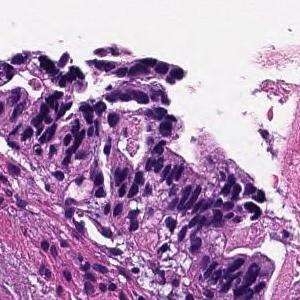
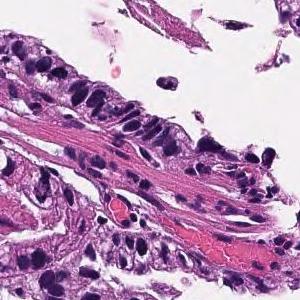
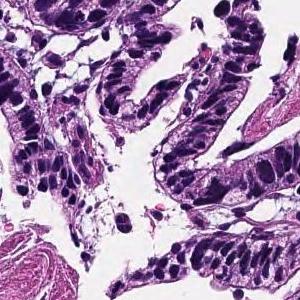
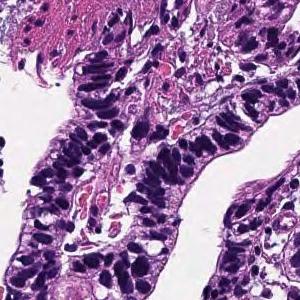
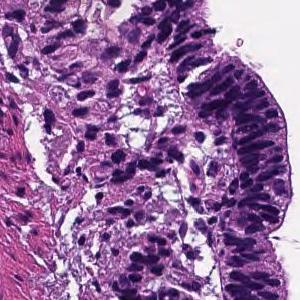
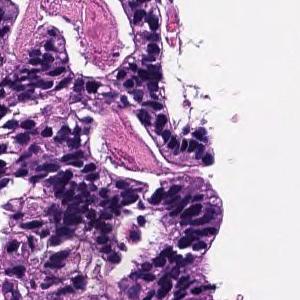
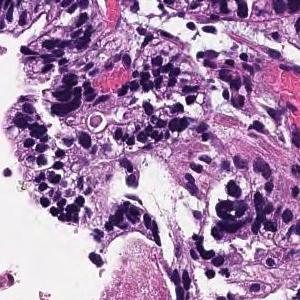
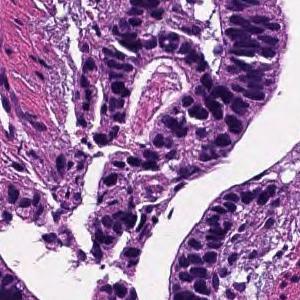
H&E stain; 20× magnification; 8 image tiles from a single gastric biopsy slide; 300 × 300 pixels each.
The pathologist's report on the biopsy slide these tiles were taken from. Both the report and the diagnosis are for the whole slide: these tiles need not show every feature named, and some of the tissue shown may not be tumor.
On the superficial epithelium, tumor tissue that infiltrates by forming medium-sized papillary or small irregular ducts is observed. Papillary adenocarcinoma
